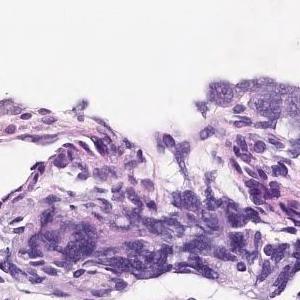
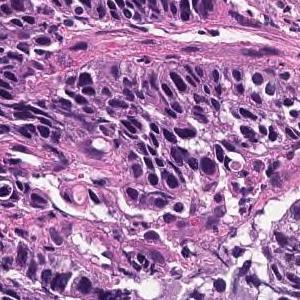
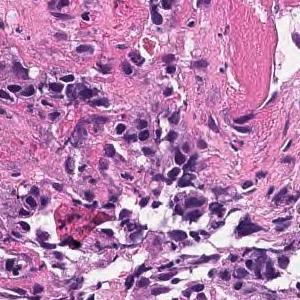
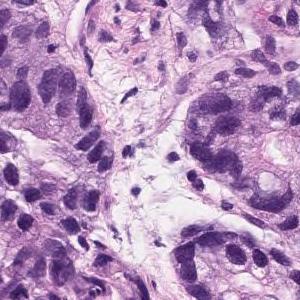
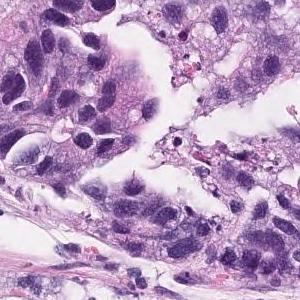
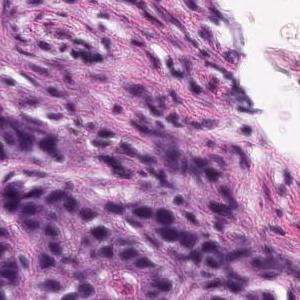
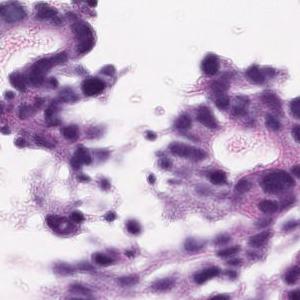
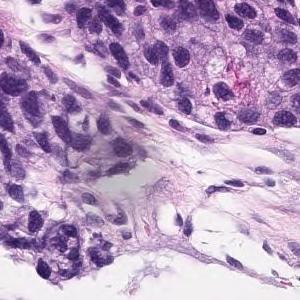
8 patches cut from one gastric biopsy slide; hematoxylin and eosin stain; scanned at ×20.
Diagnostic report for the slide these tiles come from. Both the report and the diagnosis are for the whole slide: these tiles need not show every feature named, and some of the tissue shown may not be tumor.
Medium to small, irregular glandular ducts are formed in the superficial epithelium, and in some cases, the glandular ducts are fused to show solid alveolar lesions and infiltrating tumor tissue is observed. Moderately to poorly differentiated adenocarcinoma.
